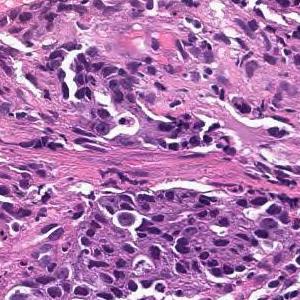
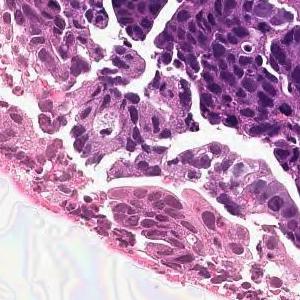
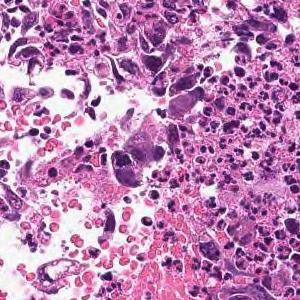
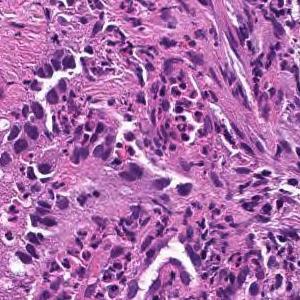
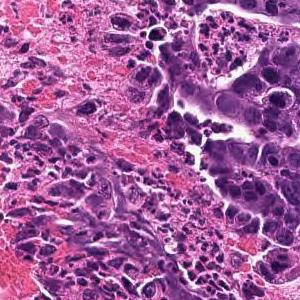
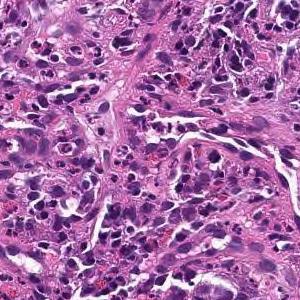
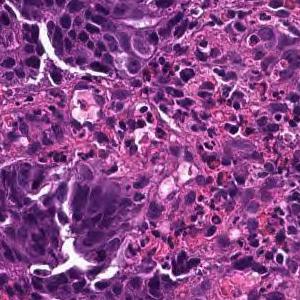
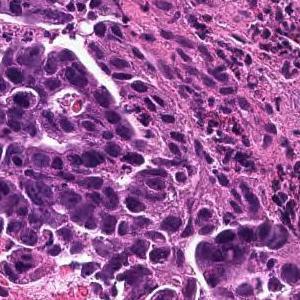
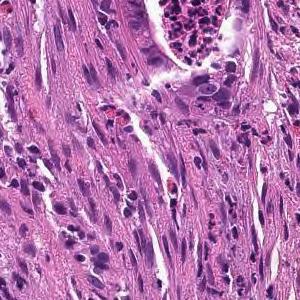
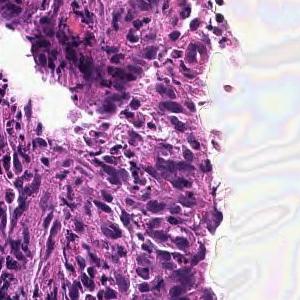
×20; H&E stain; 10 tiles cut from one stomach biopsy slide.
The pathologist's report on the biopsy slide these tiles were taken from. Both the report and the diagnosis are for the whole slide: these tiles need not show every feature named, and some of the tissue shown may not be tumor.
In the superficial epithelium, tumor tissue that invades by forming medium-sized to small, irregular ducts is observed. moderately differentiated tubular adenocarcinoma.
